14 tiles from the same stomach biopsy slide · 300×300 px each · hematoxylin and eosin stain.
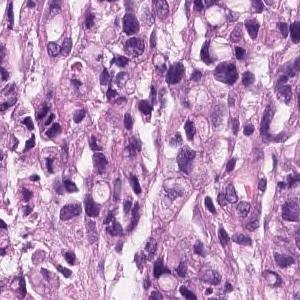
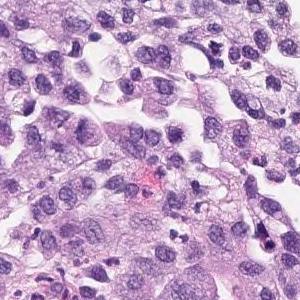
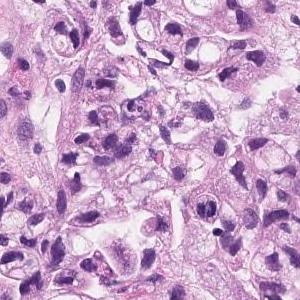
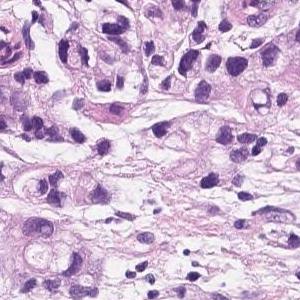
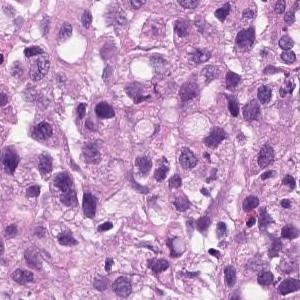
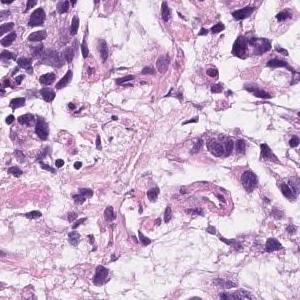
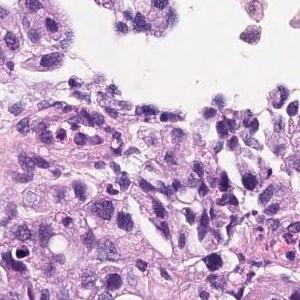
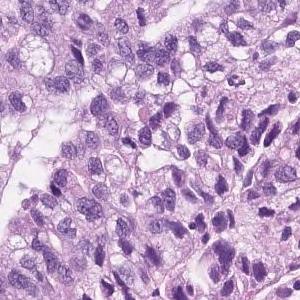
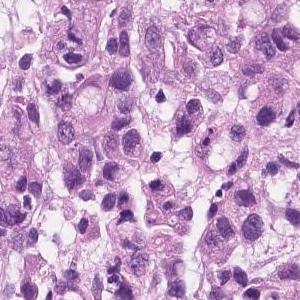
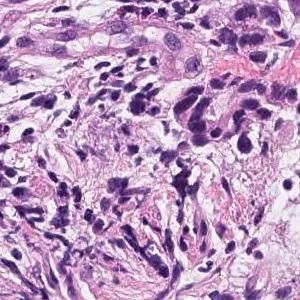
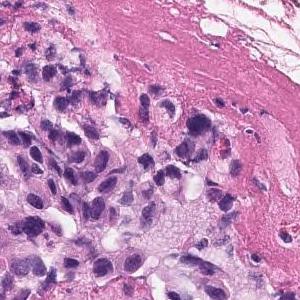
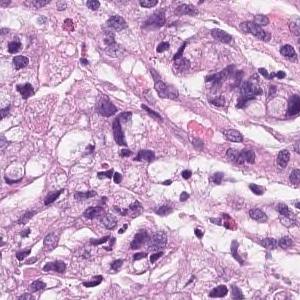
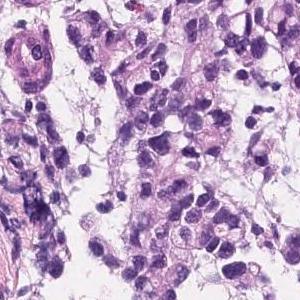
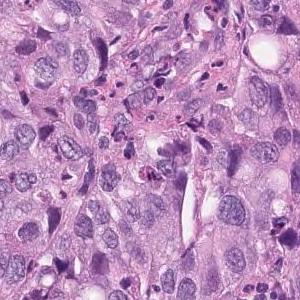
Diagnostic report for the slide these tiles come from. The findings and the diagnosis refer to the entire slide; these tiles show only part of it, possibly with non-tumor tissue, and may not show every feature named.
Group 5, Adenocarcinoma. Poorly differentiated adenocarcinoma, non-solid type
The non-solid type named here is a Japanese Classification of Gastric Carcinoma category.
